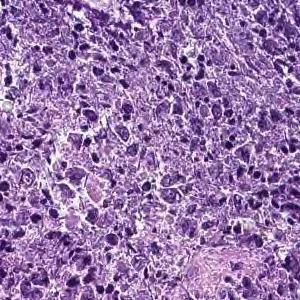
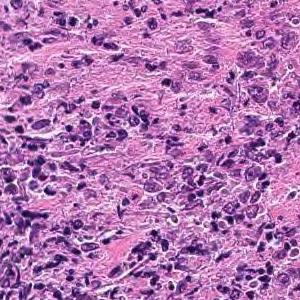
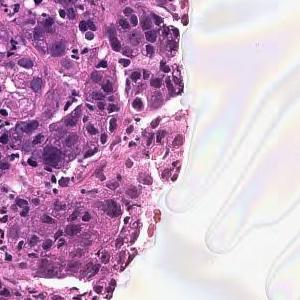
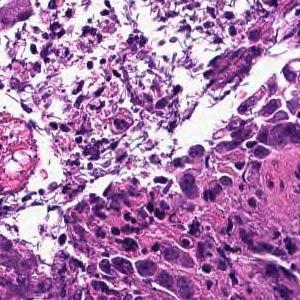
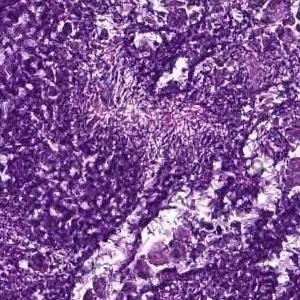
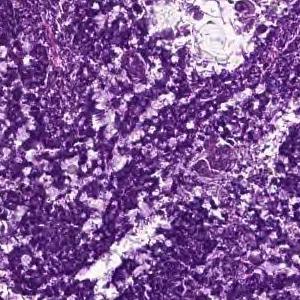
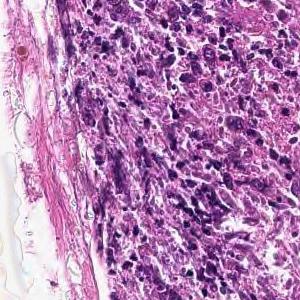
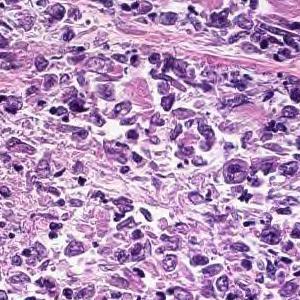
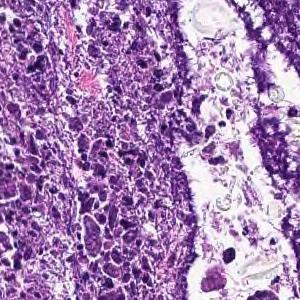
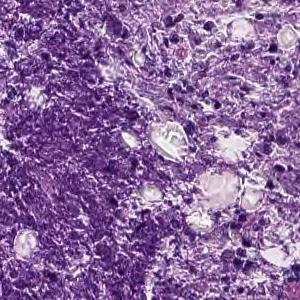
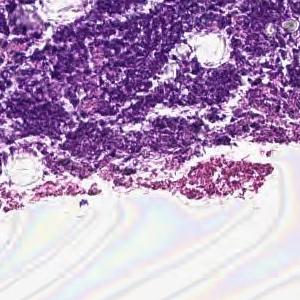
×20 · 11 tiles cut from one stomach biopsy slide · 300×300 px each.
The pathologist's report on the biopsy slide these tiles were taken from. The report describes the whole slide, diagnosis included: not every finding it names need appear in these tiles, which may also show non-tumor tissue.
Cancers with polygonal nuclei do not show glandular formation and are densely, in part, cord-like and proliferate. Poorly differentiated adenocarcinoma
Histological subtype: Poorly differentiated adenocarcinoma, non-solid type.
"Non-solid type" is a category of the Japanese Classification of Gastric Carcinoma.
